20× magnification · hematoxylin and eosin stain · 4 patches cut from one gastric biopsy slide.
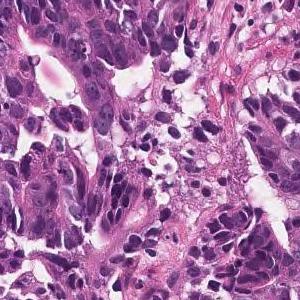
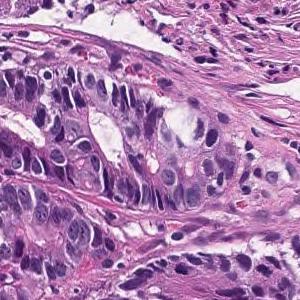
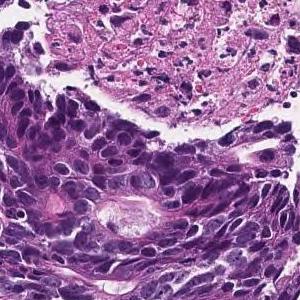
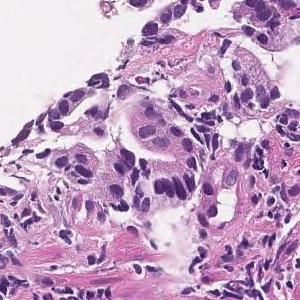
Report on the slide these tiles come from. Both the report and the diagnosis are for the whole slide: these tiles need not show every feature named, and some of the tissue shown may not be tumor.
In the superficial epithelium, tumor tissue that invades by forming medium-sized to small, irregular ducts is observed. moderately differentiated tubular adenocarcinoma.
